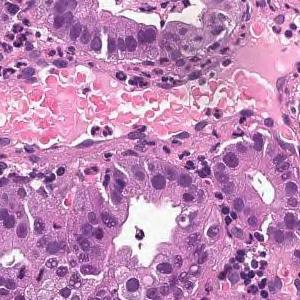
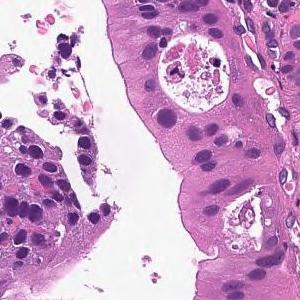
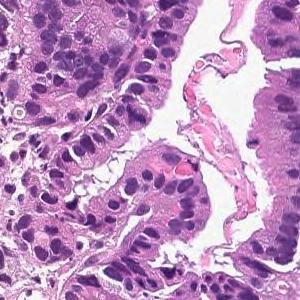
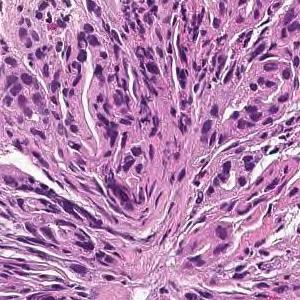
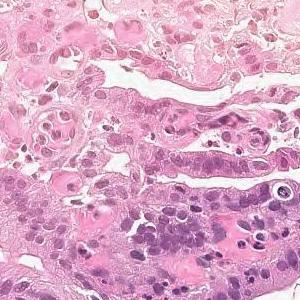
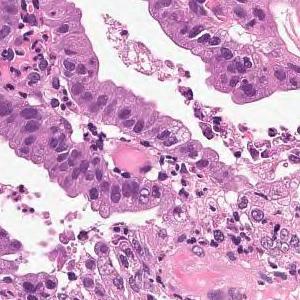
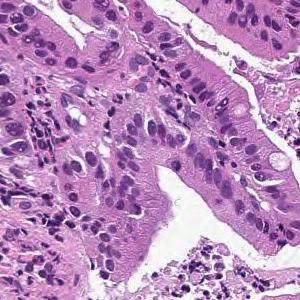
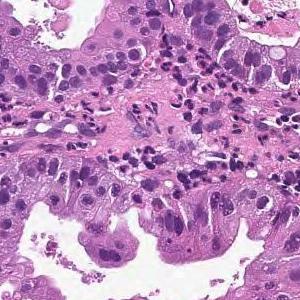
8 image tiles from a single gastric biopsy slide, 300×300 px each, H&E.
Pathology report for the slide these tiles were cut from. The report describes the whole slide, diagnosis included: not every finding it names need appear in these tiles, which may also show non-tumor tissue.
From the superficial epithelium to the muscularis mucosae, tumor tissue consisting of medium-sized and irregular glandular ducts infiltrating is observed. Well differentiated tubular adenocarcinoma
